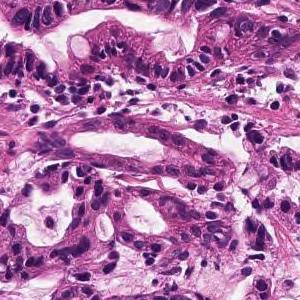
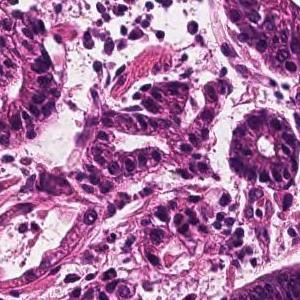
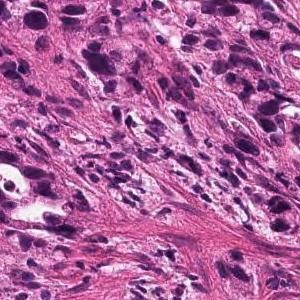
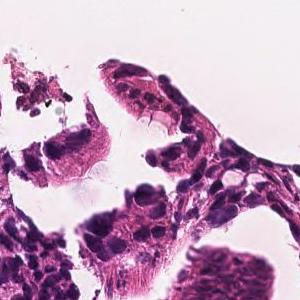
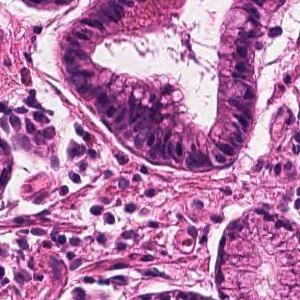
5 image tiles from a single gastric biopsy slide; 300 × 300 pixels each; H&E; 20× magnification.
Pathology report for the slide these tiles were cut from. The report describes the whole slide, diagnosis included: not every finding it names need appear in these tiles, which may also show non-tumor tissue.
In the superficial epithelium, tumor tissue that invades by forming medium-sized to small, irregular ducts is observed. moderately differentiated tubular adenocarcinoma.
